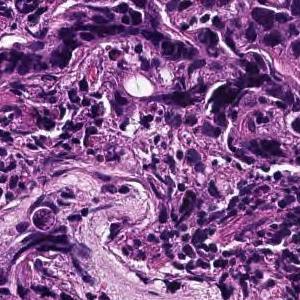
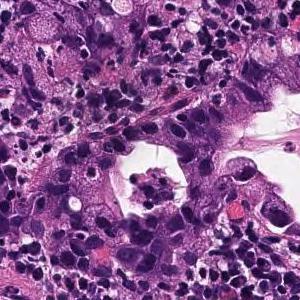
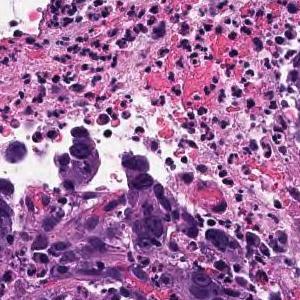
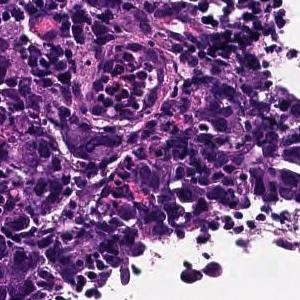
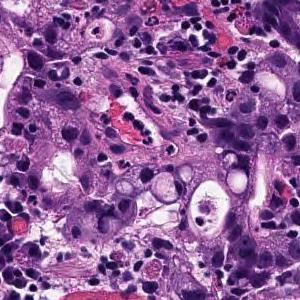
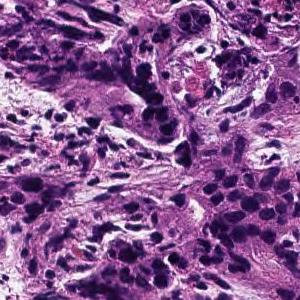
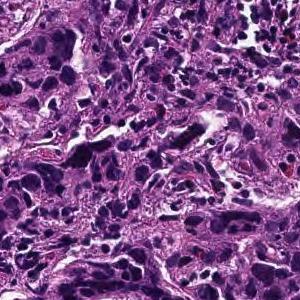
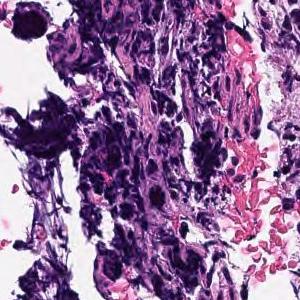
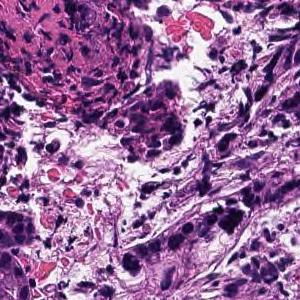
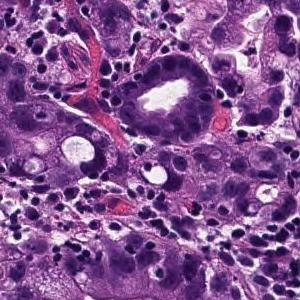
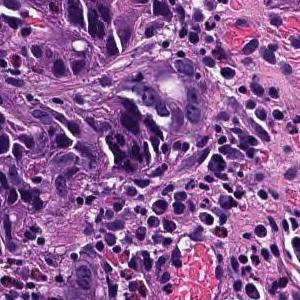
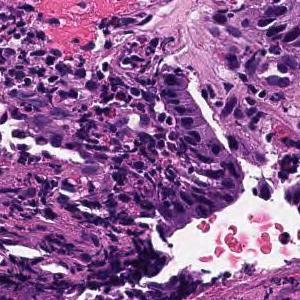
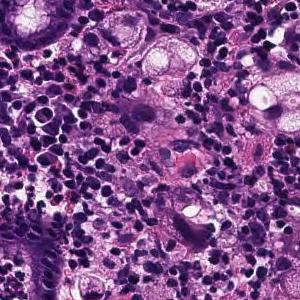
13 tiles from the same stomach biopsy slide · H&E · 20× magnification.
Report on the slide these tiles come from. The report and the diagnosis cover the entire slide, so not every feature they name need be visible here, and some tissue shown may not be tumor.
Tumor tissue consisting of medium-sized, cord-like or irregular glandular infiltration is observed in the superficial epithelium. Poorly differentiated adenocarcinoma, non-solid type or moderately differentiated tubular adenocarcinoma
Classified as moderately to poorly differentiated adenocarcinoma.
The term "non-solid type" comes from the Japanese Classification of Gastric Carcinoma.
